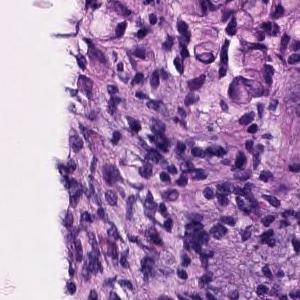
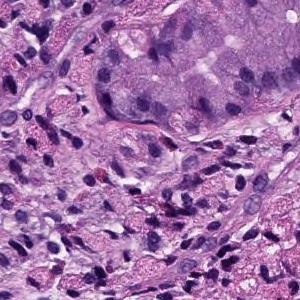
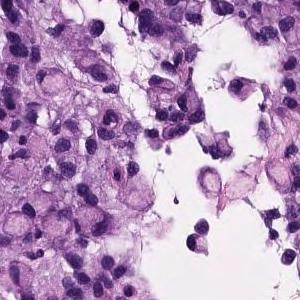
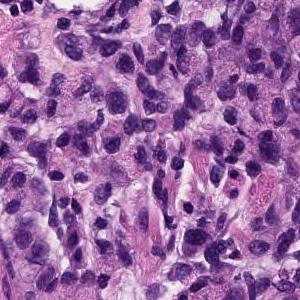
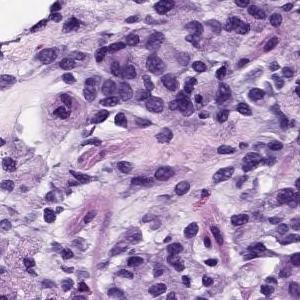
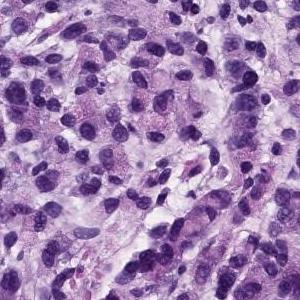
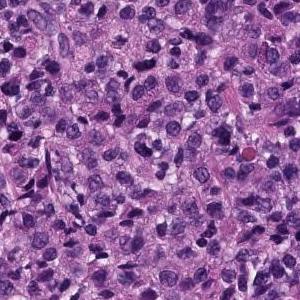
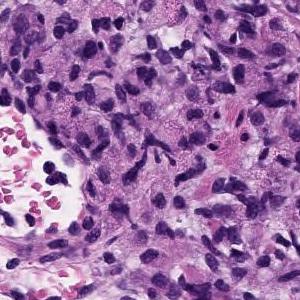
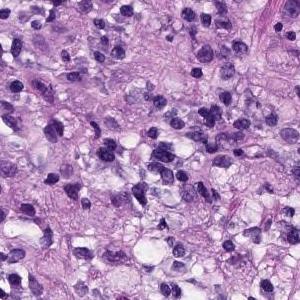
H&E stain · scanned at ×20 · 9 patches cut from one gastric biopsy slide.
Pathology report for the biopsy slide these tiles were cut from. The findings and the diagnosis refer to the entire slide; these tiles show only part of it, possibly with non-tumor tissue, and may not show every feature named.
The superficial epithelium shows a large sheet-like shape, and some tumor tissue infiltrates with small irregular ducts. Poorly differentiated adenocarcinoma, solid-type
Histological subtype: Poorly differentiated adenocarcinoma, solid type. This name comes from the Japanese Classification of Gastric Carcinoma; the WHO 2019 classification calls it tubular adenocarcinoma, poorly differentiated.
